Scanned at ×20, H&E stain, 11 tiles from the same stomach biopsy slide, each 300 × 300 pixels.
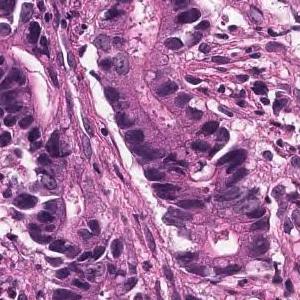
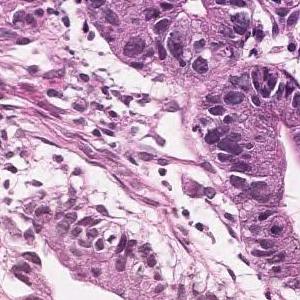
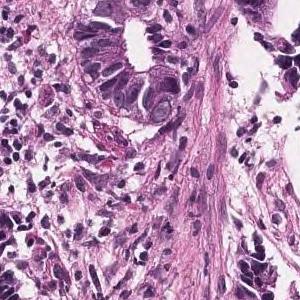
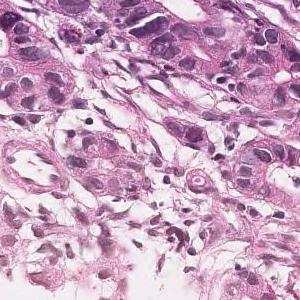
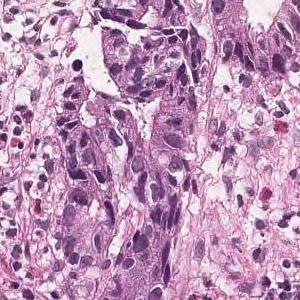
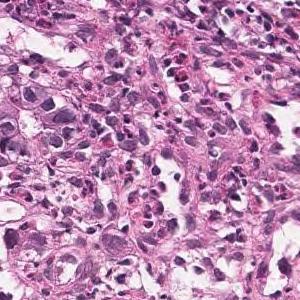
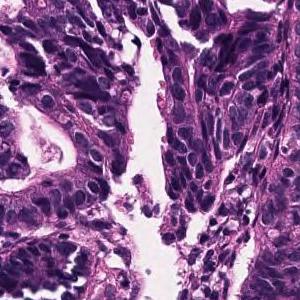
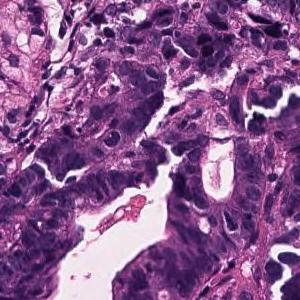
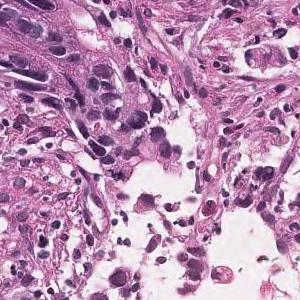
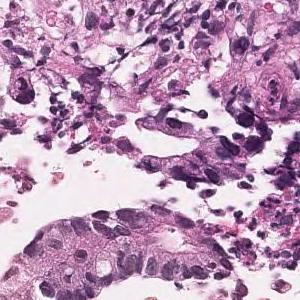
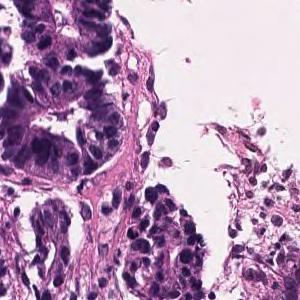
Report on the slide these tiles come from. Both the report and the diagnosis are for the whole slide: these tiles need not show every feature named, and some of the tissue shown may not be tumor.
In the superficial epithelium, tumor tissue is found in which medium-sized irregular gland ducts fuse with each other and infiltrate. moderately differentiated tubular adenocarcinoma
